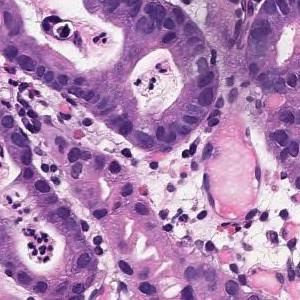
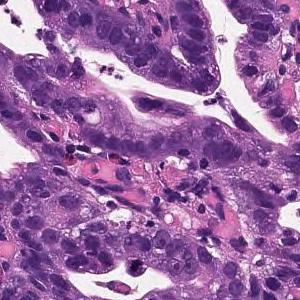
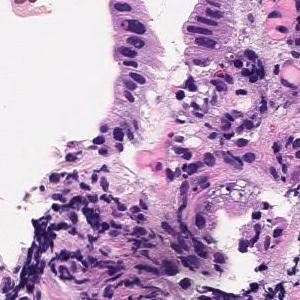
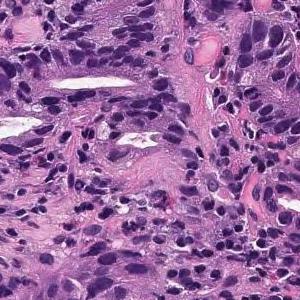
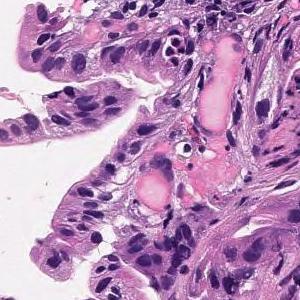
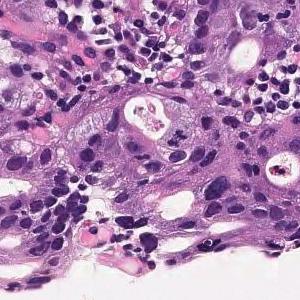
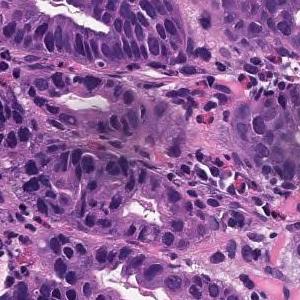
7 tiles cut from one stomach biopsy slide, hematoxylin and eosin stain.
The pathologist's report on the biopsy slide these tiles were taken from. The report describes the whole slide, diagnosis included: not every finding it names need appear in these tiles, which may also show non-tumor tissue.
On the superficial epithelium, tumor tissue consisting of large, irregular glandular ducts partially fused and infiltrated is observed. Well to moderately differentiated tubular adenocarcinoma (well differentiated tubular adenocarcinoma, moderately differentiated tubular adenocarcinoma)
Histologic type: Well to moderately differentiated tubular adenocarcinoma.
